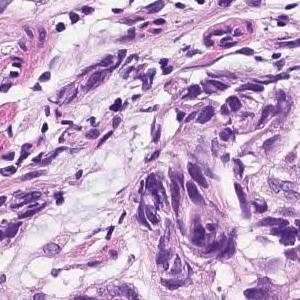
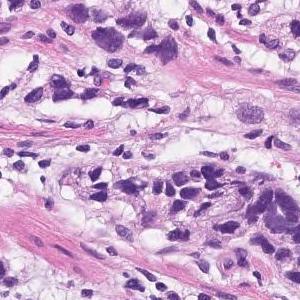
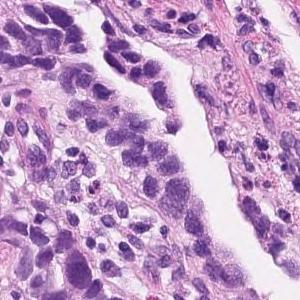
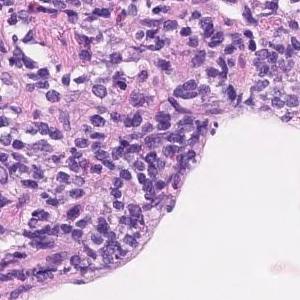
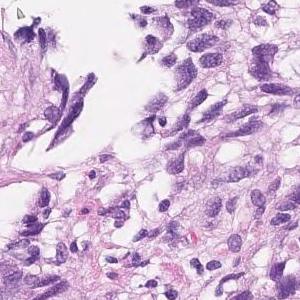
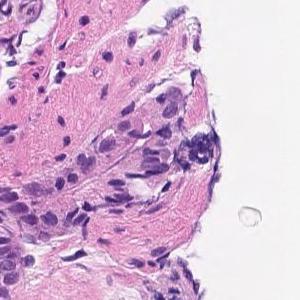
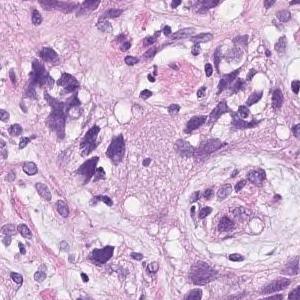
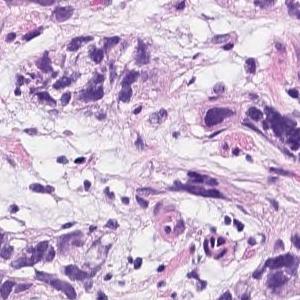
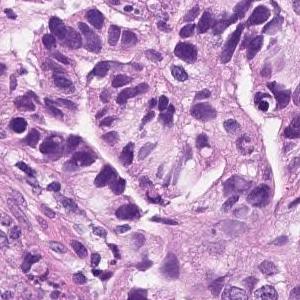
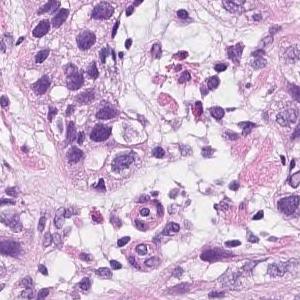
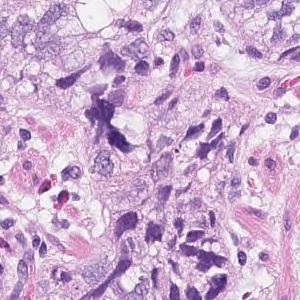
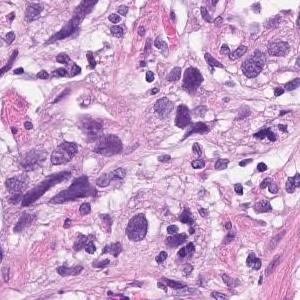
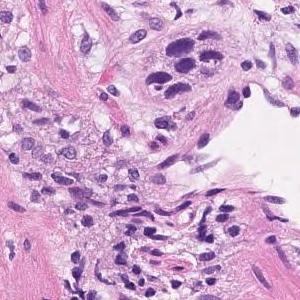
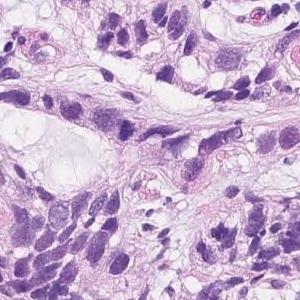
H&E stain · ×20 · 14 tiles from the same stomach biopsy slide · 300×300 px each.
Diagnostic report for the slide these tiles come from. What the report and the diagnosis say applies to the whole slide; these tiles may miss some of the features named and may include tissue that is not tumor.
In the superficial epithelium, tumor tissue that invades by forming medium-sized to small, irregular ducts is observed. Moderately differentiated adenocarcinoma.
Histologic type: Moderately differentiated tubular adenocarcinoma.
